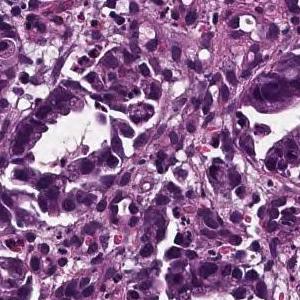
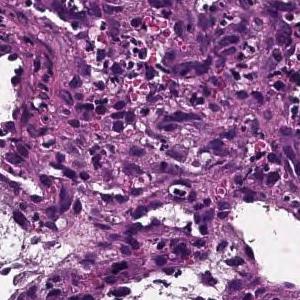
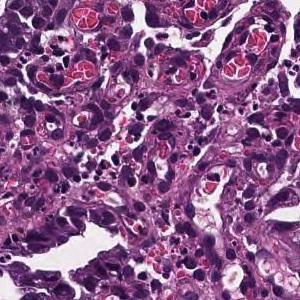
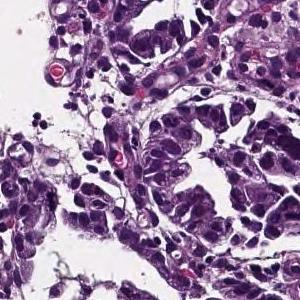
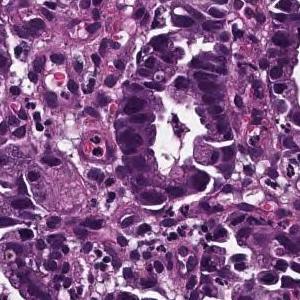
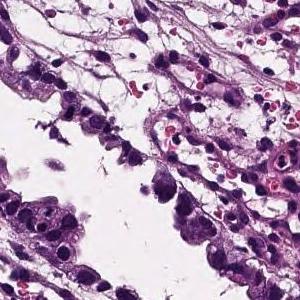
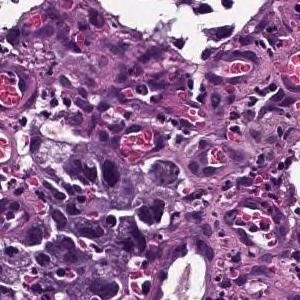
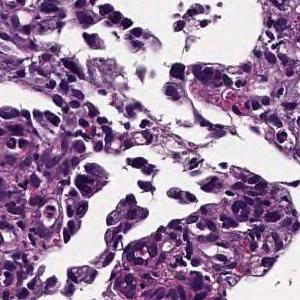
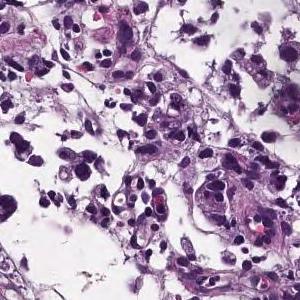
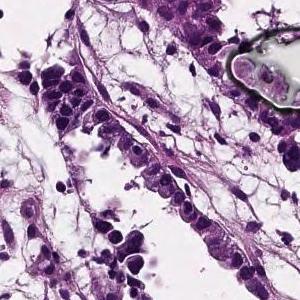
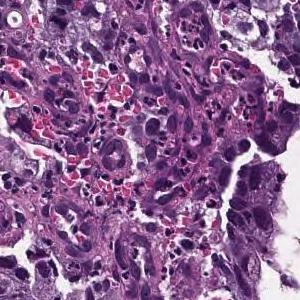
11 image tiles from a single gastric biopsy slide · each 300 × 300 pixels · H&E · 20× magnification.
Diagnostic report for the slide these tiles come from. The report and the diagnosis describe the slide as a whole, so these tiles may not show every feature named and may include non-tumor tissue.
Medium to small, irregular glandular ducts are formed in the superficial epithelium, and in some cases, the glandular ducts are fused to show solid alveolar lesions and infiltrating tumor tissue is observed. Moderately to poorly differentiated adenocarcinoma.
